10 tiles cut from one stomach biopsy slide, each 300 × 300 pixels, H&E stain.
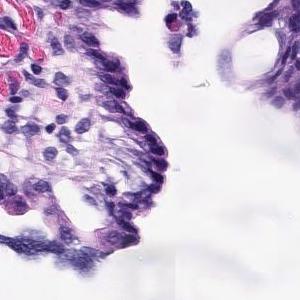
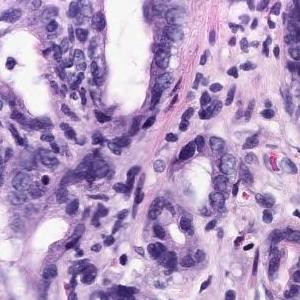
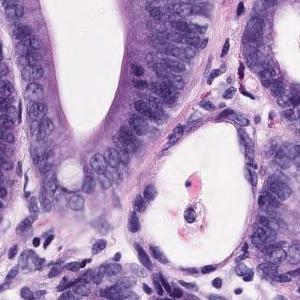
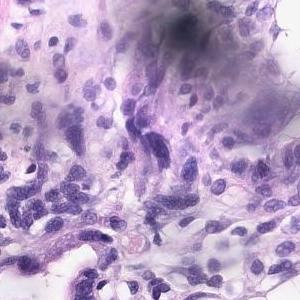
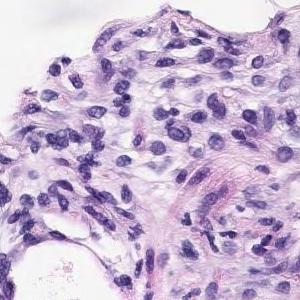
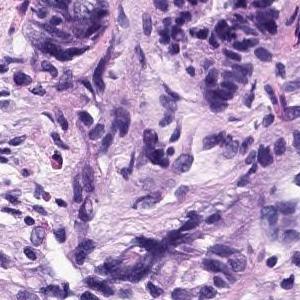
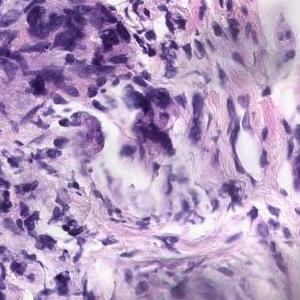
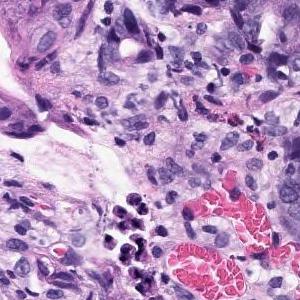
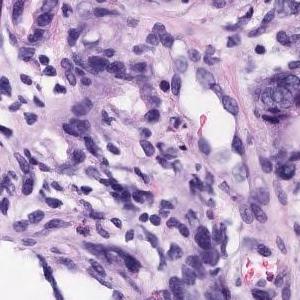
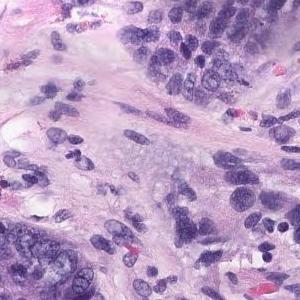
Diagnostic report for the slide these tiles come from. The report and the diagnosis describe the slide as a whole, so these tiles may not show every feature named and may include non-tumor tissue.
In the superficial epithelium, tumor tissue that invades by forming medium-sized to small, irregular ducts is observed. Moderately differentiated adenocarcinoma
Tumor subtype: moderately differentiated tubular adenocarcinoma.
